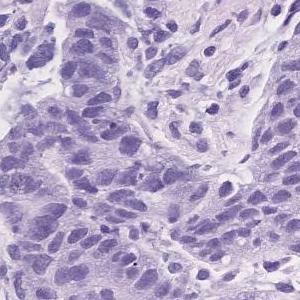
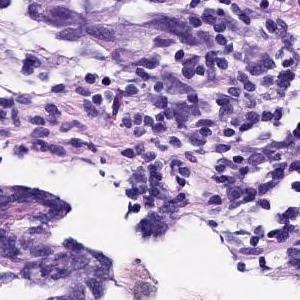
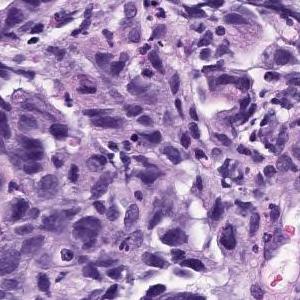
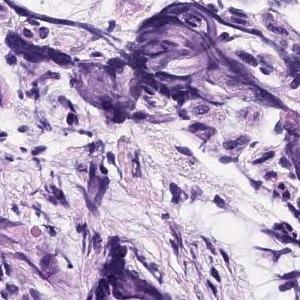
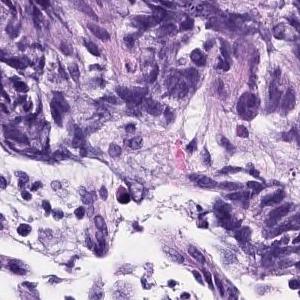
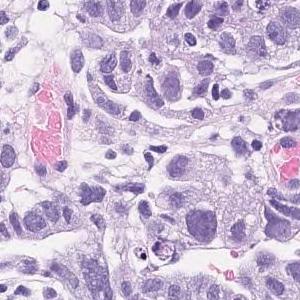
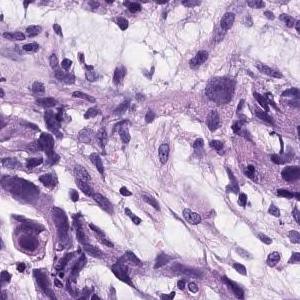
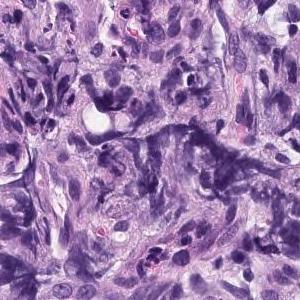
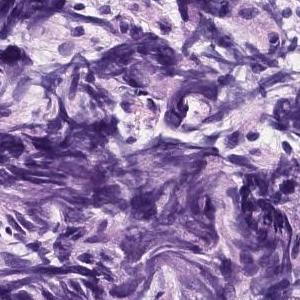
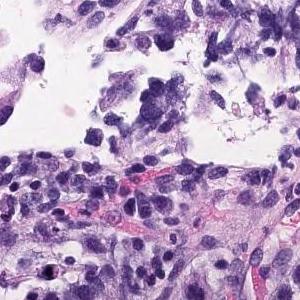
20× magnification; hematoxylin and eosin stain; 10 tiles cut from one stomach biopsy slide; 300×300 px each.
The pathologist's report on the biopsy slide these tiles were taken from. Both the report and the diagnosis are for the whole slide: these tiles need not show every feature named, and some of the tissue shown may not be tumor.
Atypical epithelial cells with an increased N/C ratio proliferate and consist of a part that shows the formation of gland ducts and a part that shows solid growth. Poorly differentiated adenocarcinoma, solid-type
Subtype: Poorly differentiated adenocarcinoma, solid type. This name comes from the Japanese Classification of Gastric Carcinoma; the WHO 2019 classification calls it tubular adenocarcinoma, poorly differentiated.
